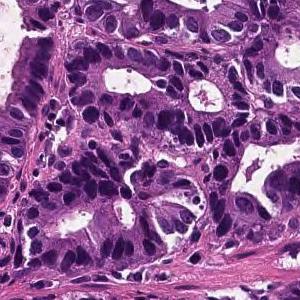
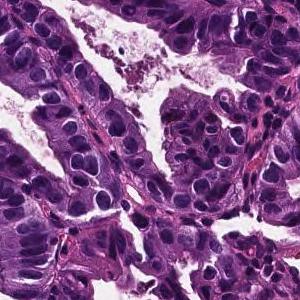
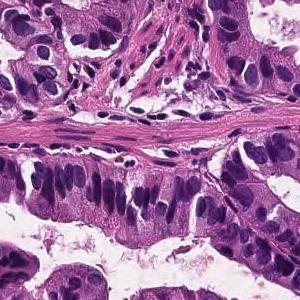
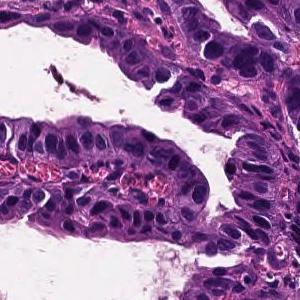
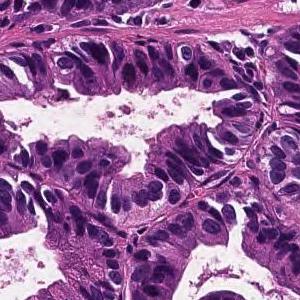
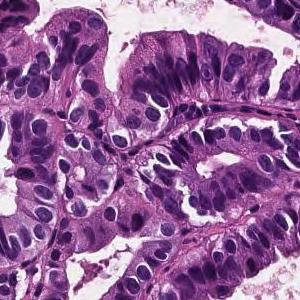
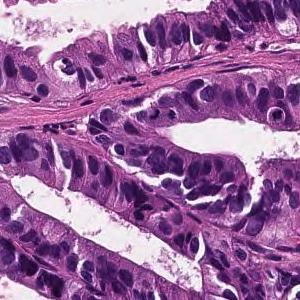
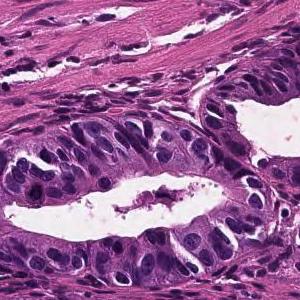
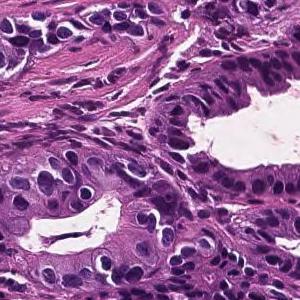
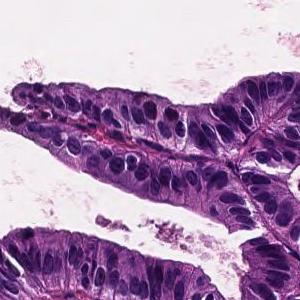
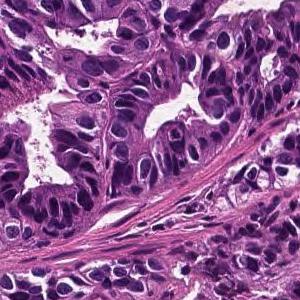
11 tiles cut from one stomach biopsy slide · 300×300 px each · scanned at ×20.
Pathology report for the biopsy slide these tiles were cut from. The findings and the diagnosis refer to the entire slide; these tiles show only part of it, possibly with non-tumor tissue, and may not show every feature named.
From the superficial epithelium to the muscularis mucosae, tumor tissue consisting of medium-sized and irregular glandular ducts infiltrating is observed. Well differentiated tubular adenocarcinoma
